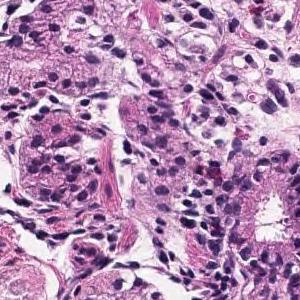
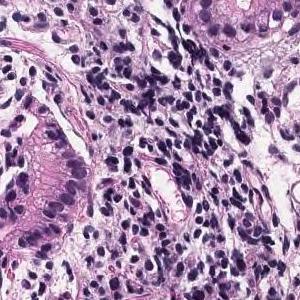
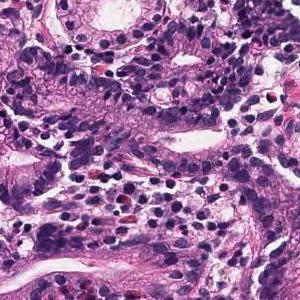
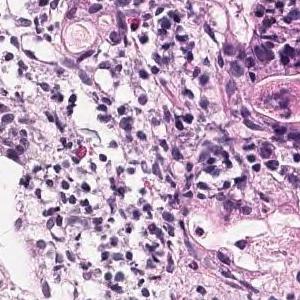
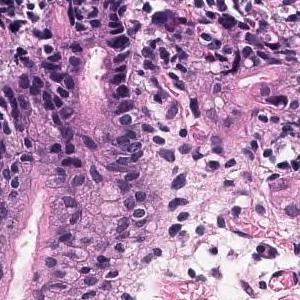
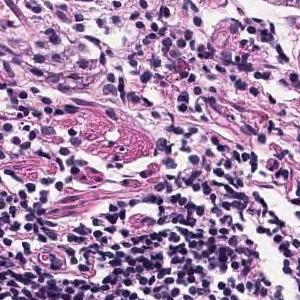
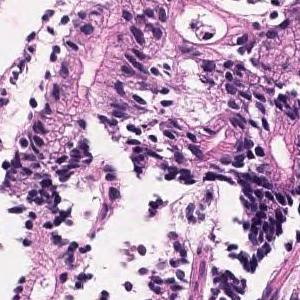
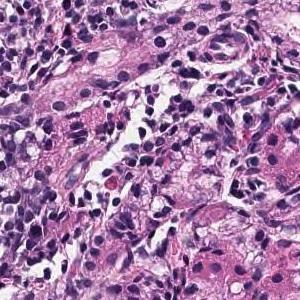
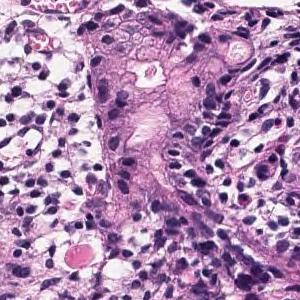
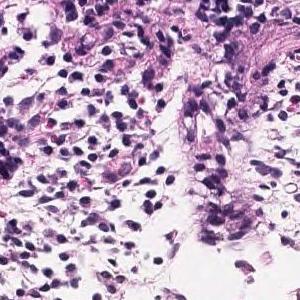
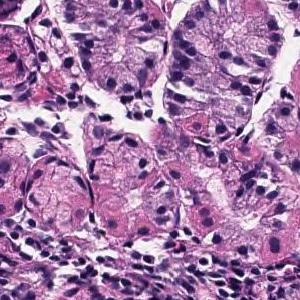
11 patches cut from one gastric biopsy slide · hematoxylin and eosin stain · ×20.
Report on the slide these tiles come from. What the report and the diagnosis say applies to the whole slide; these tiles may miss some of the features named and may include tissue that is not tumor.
Tumor tissue that grows and grows is observed, showing a medium-sized round or irregular duct. moderately differentiated tubular adenocarcinoma
